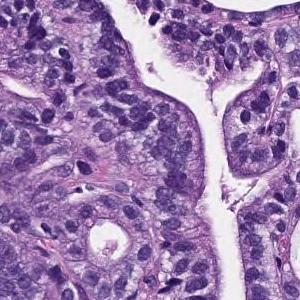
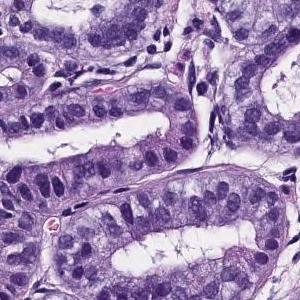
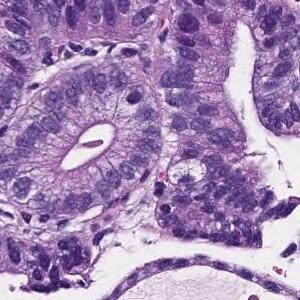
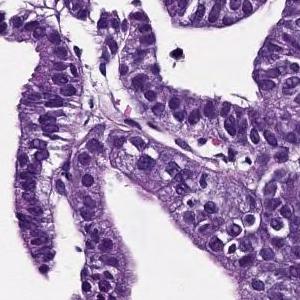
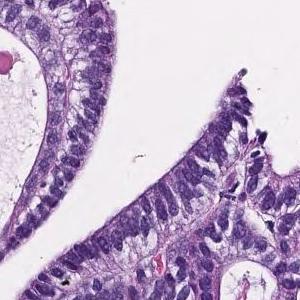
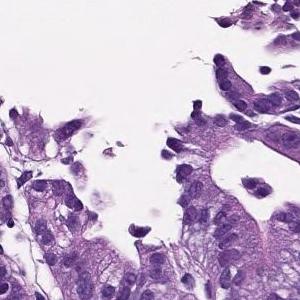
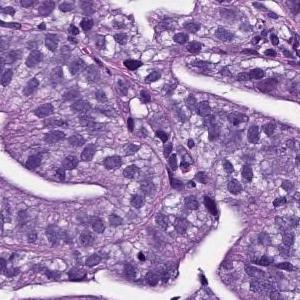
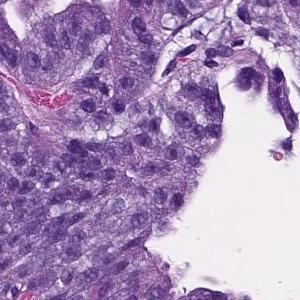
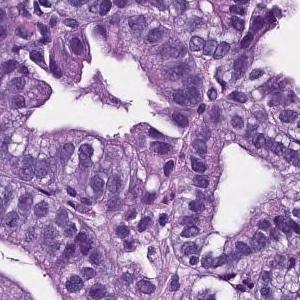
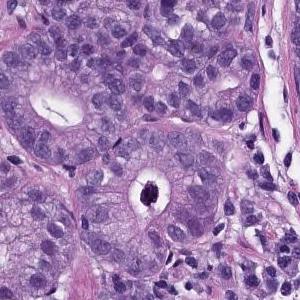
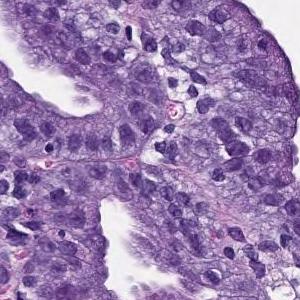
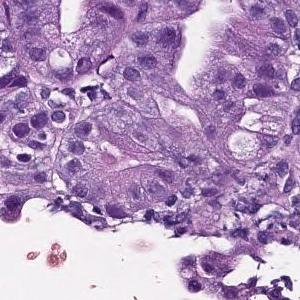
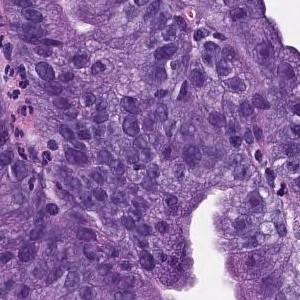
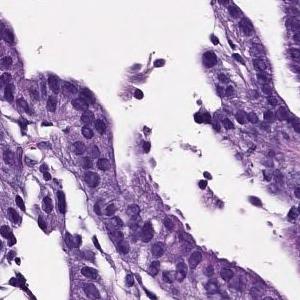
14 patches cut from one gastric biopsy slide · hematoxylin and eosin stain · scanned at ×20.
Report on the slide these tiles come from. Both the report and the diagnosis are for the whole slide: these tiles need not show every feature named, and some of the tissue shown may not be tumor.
On the superficial epithelium, tumor tissue that infiltrates by forming medium-sized papillary or small irregular ducts is observed. Papillary adenocarcinoma
